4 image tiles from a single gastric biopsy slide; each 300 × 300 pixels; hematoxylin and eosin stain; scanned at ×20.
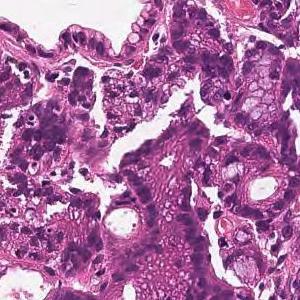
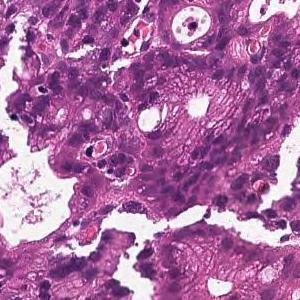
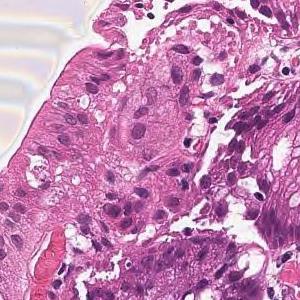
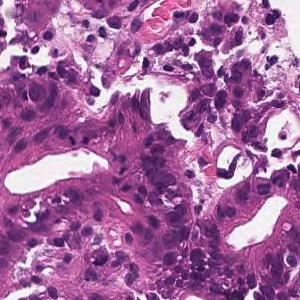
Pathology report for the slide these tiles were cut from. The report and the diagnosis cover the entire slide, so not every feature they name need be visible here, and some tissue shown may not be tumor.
In the superficial epithelium, tumor tissue that invades by forming medium-sized to small, irregular ducts is observed. moderately differentiated tubular adenocarcinoma.
